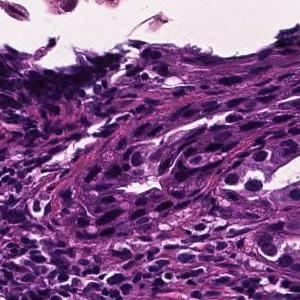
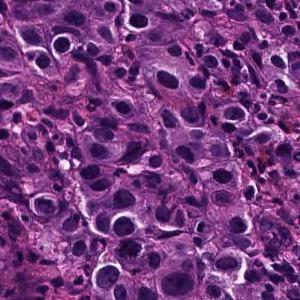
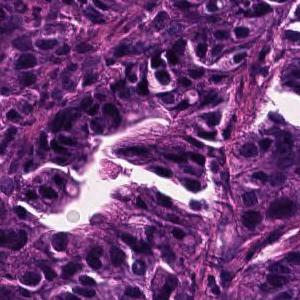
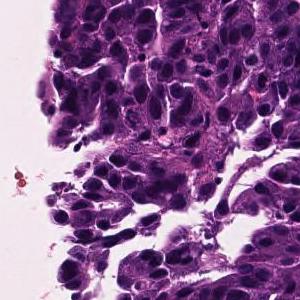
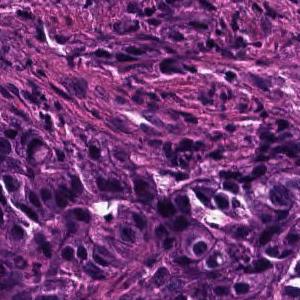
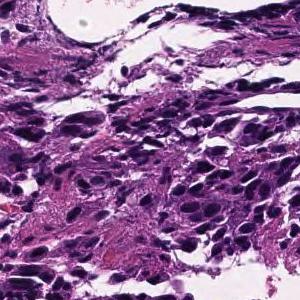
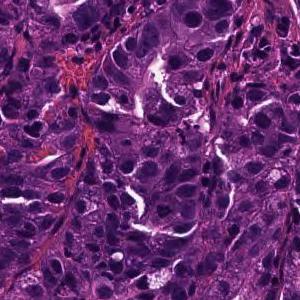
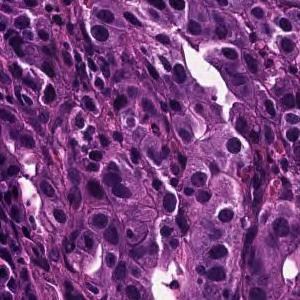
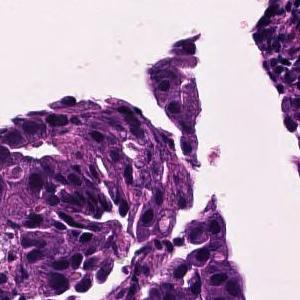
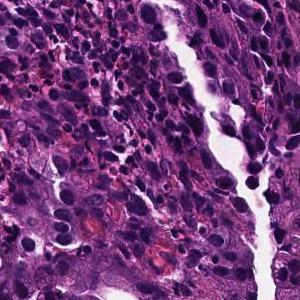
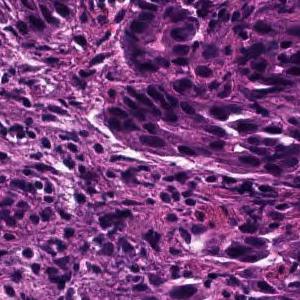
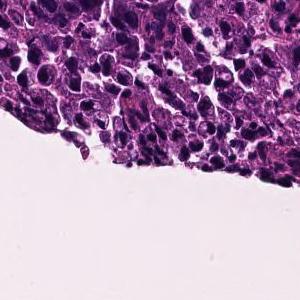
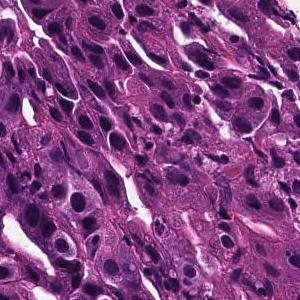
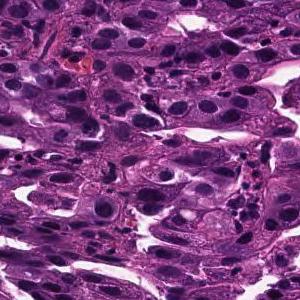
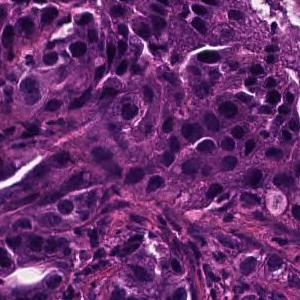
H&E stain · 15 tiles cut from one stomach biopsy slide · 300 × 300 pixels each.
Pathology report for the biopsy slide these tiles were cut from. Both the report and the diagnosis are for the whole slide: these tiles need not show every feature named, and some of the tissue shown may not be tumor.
Tumor tissue consisting of medium-sized, cord-like or irregular glandular fusion and infiltration is observed in the superficial epithelium. Poorly differentiated adenocarcinoma, non-solid type or moderately differentiated tubular adenocarcinoma
Classified as moderately to poorly differentiated adenocarcinoma.
"Non-solid type" is a category of the Japanese Classification of Gastric Carcinoma.
